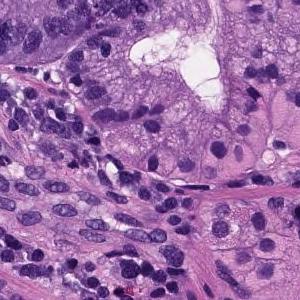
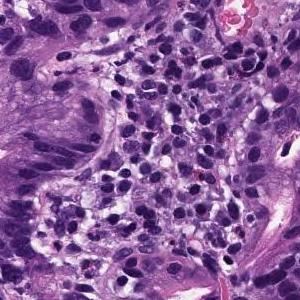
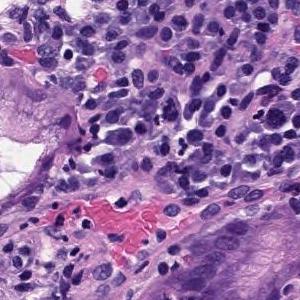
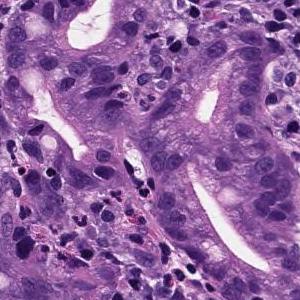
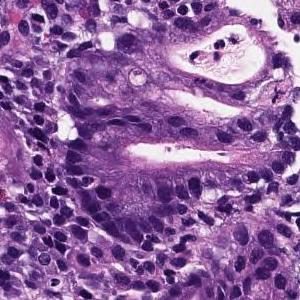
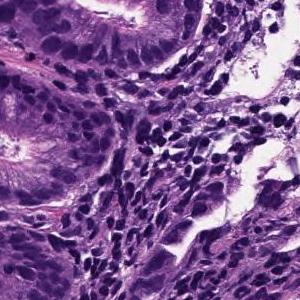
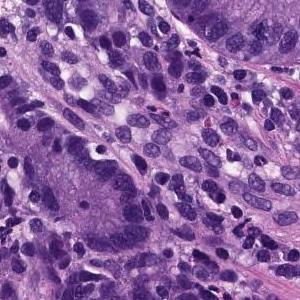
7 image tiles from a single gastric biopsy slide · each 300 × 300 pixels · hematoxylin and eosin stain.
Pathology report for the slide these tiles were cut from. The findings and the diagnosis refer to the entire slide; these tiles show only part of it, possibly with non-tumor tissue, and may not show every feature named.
Medium to small, irregular glandular ducts are formed in the superficial epithelium, and in some cases, the glandular ducts are fused to show solid alveolar lesions and infiltrating tumor tissue is observed. Moderately to poorly differentiated adenocarcinoma.
